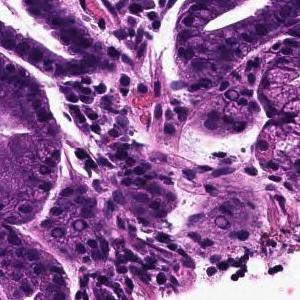
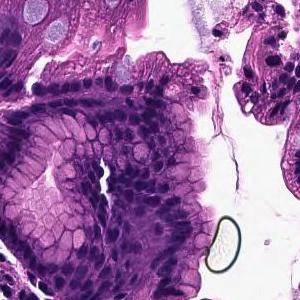
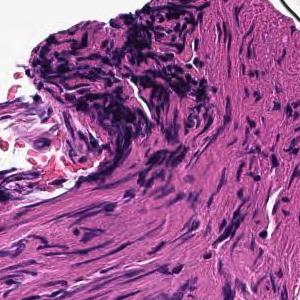
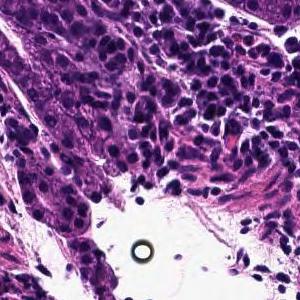
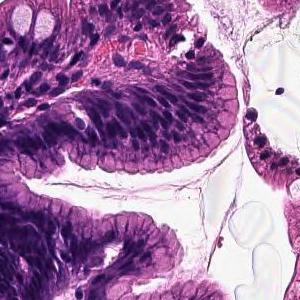
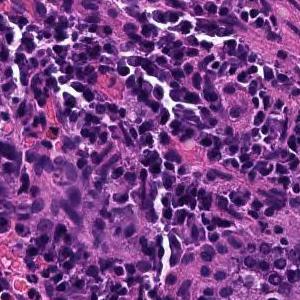
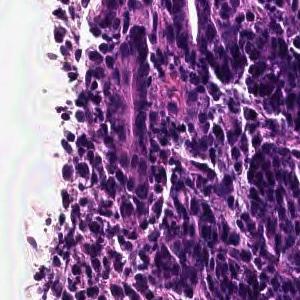
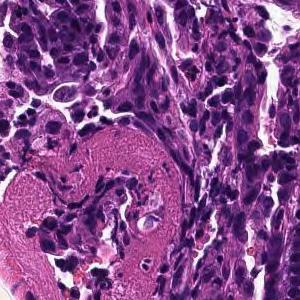
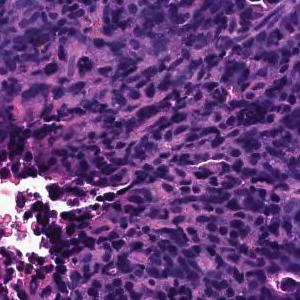
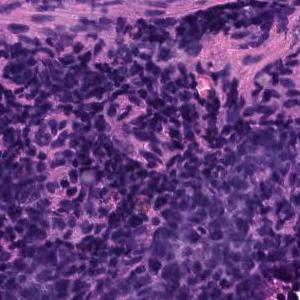
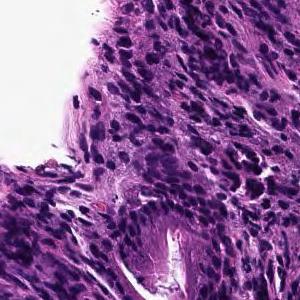
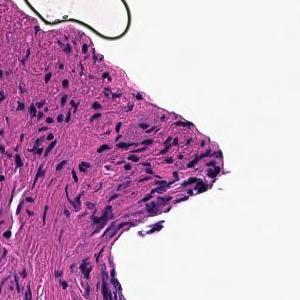
H&E · 12 image tiles from a single gastric biopsy slide.
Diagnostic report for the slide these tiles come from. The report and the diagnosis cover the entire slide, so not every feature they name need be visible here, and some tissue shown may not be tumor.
The superficial epithelium shows a large sheet-like shape, and some tumor tissue infiltrates with small irregular ducts. Poorly differentiated adenocarcinoma, solid-type
Subtype: Poorly differentiated adenocarcinoma, solid type, a category of the Japanese Classification of Gastric Carcinoma; in the WHO 2019 classification it is tubular adenocarcinoma, poorly differentiated.
